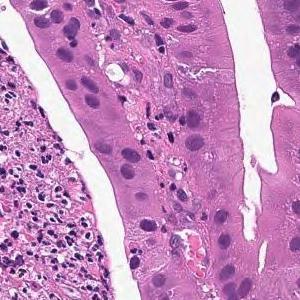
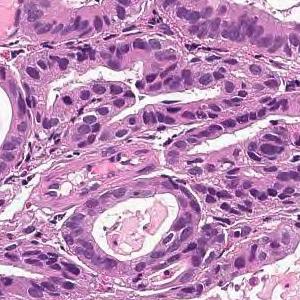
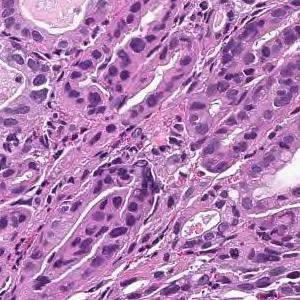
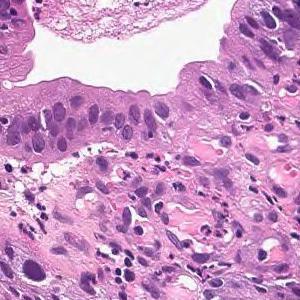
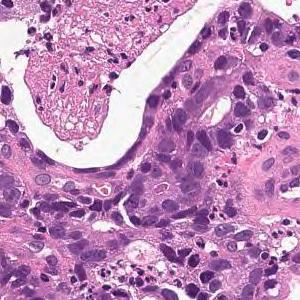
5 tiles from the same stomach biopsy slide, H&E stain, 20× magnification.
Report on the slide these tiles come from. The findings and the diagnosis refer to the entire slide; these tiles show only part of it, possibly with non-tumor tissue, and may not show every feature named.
From the superficial epithelium to the muscularis mucosae, tumor tissue consisting of medium-sized and irregular glandular ducts infiltrating is observed. Well differentiated tubular adenocarcinoma
